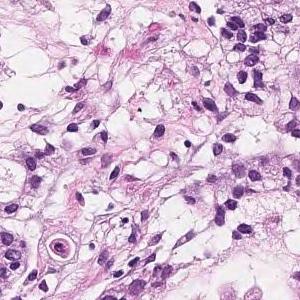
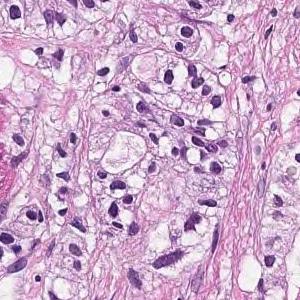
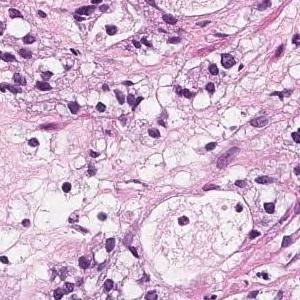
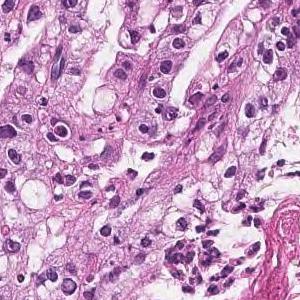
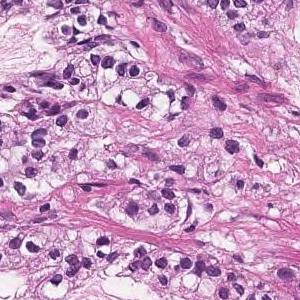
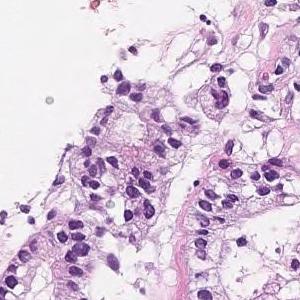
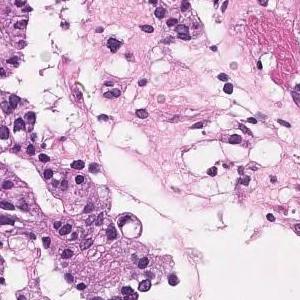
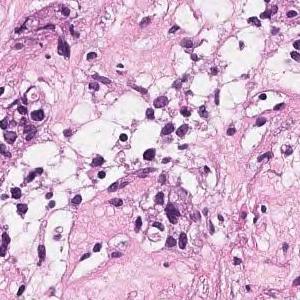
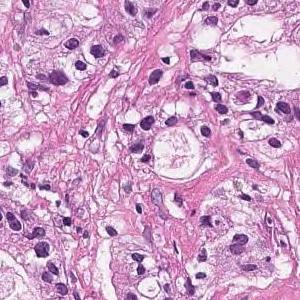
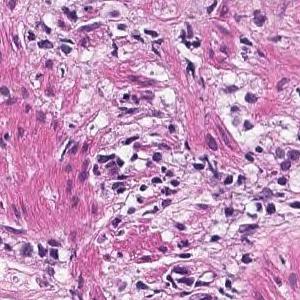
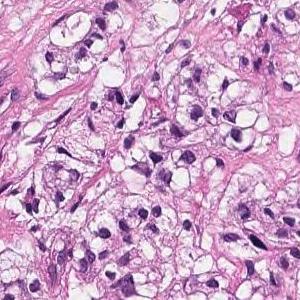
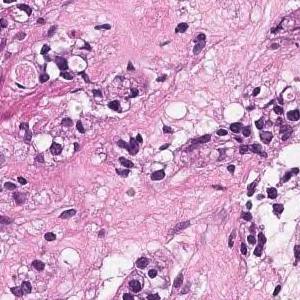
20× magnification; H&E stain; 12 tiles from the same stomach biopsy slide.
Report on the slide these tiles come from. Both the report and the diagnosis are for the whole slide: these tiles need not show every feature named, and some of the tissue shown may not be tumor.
In the superficial epithelium, tumor tissue that invades by forming medium-sized to small, irregular ducts is observed. moderately differentiated tubular adenocarcinoma.
